H&E; 9 image tiles from a single gastric biopsy slide.
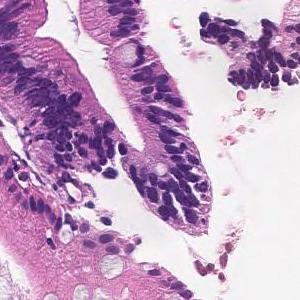
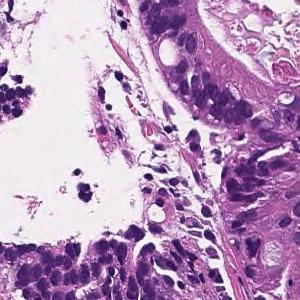
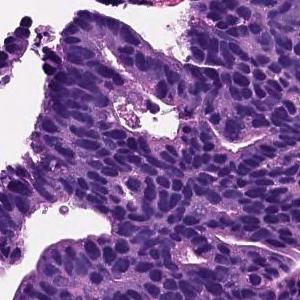
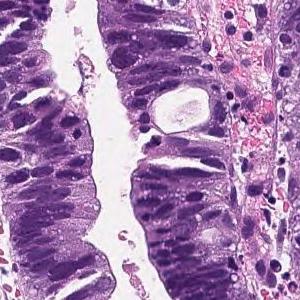
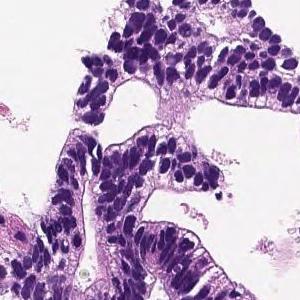
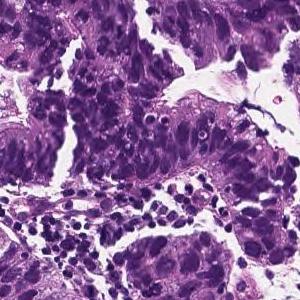
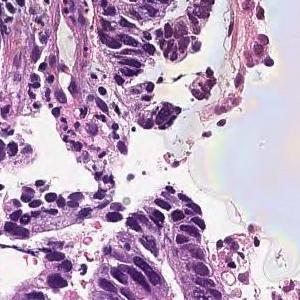
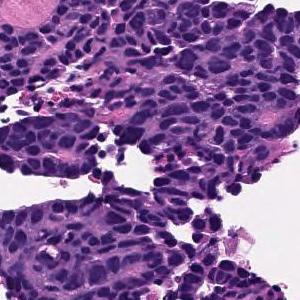
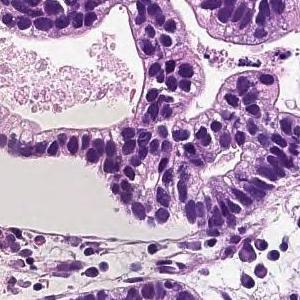
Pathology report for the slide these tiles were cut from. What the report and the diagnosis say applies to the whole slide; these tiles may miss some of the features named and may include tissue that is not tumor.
In the superficial epithelium, tumor tissue that invades by forming medium-sized to small, irregular ducts is observed. moderately differentiated tubular adenocarcinoma.
